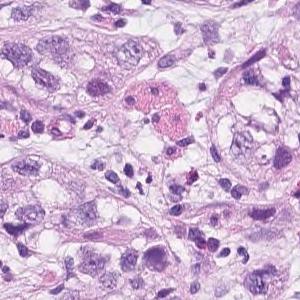
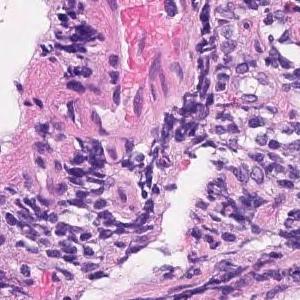
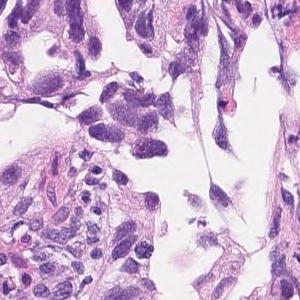
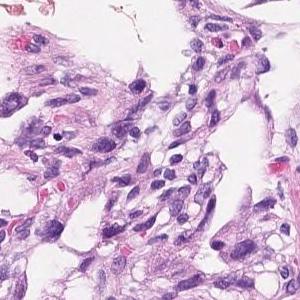
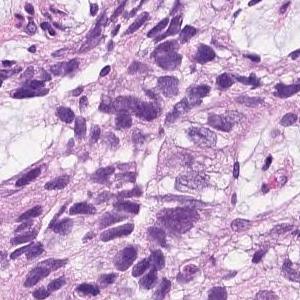
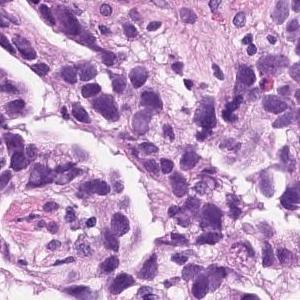
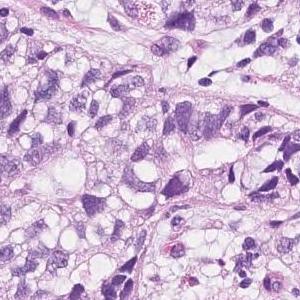
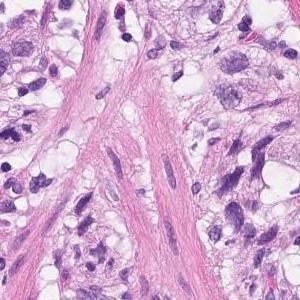
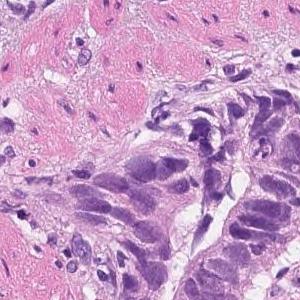
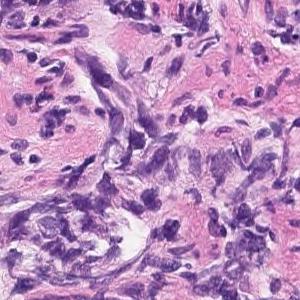
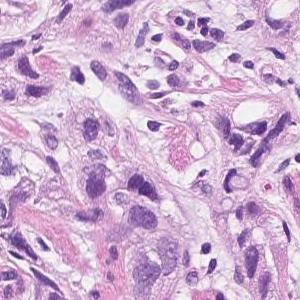
H&E · 11 patches cut from one gastric biopsy slide · 300×300 px each.
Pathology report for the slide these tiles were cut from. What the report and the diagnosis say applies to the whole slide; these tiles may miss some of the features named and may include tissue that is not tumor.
In the superficial epithelium, tumor tissue that invades by forming medium-sized to small, irregular ducts is observed. Moderately differentiated adenocarcinoma.
Histologic type: Moderately differentiated tubular adenocarcinoma.
